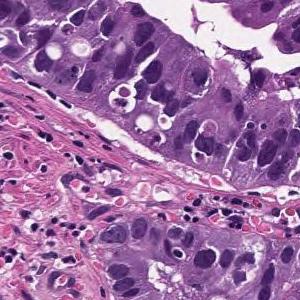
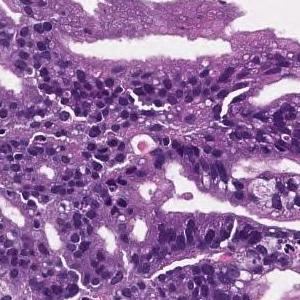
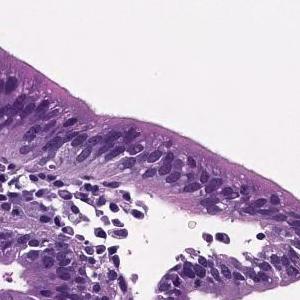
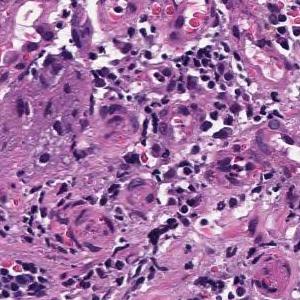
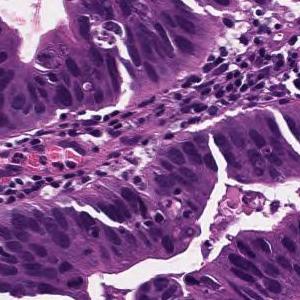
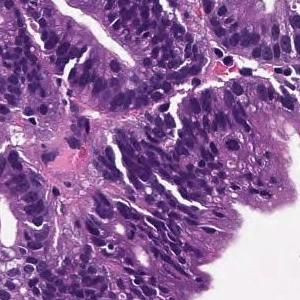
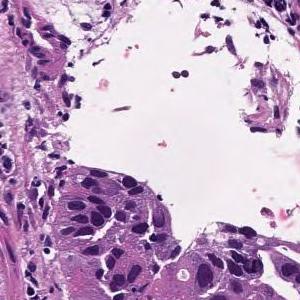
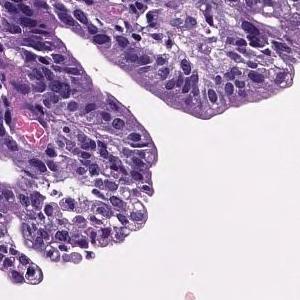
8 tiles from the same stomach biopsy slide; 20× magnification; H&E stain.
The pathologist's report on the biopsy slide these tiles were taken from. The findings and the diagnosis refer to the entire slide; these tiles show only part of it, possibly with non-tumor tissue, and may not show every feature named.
Tumor cells are large, highly columnar, large club-shaped nuclei, and are associated with chromatin aggregation. Papillary adenocarcinoma.
